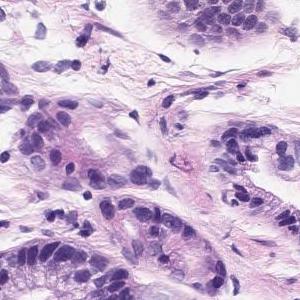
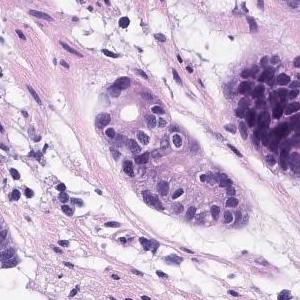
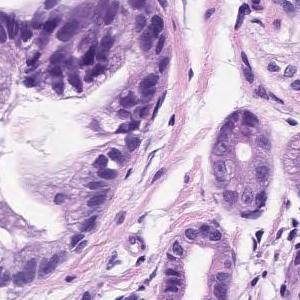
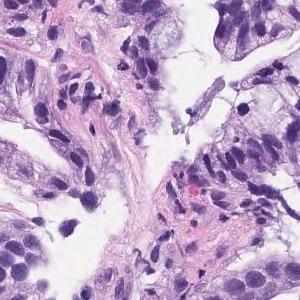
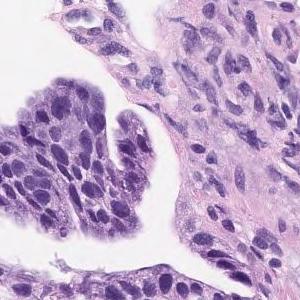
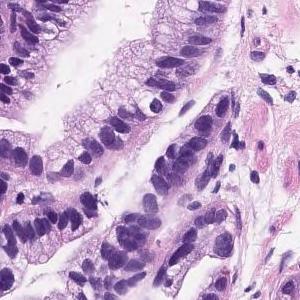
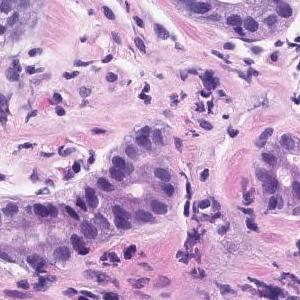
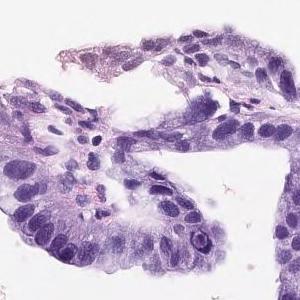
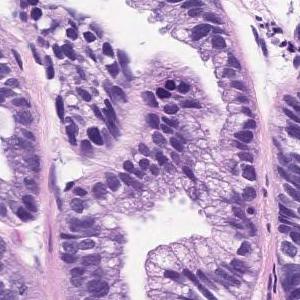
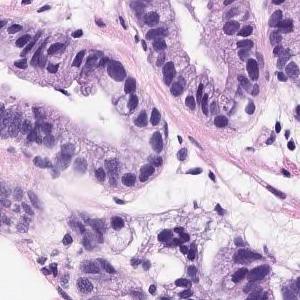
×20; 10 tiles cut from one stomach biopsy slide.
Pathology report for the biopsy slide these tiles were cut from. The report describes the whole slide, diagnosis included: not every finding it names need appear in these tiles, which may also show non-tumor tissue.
The superficial tumors shows large papillary structures or large and small ducts and infiltrates. Papillary adenocarcinoma.
